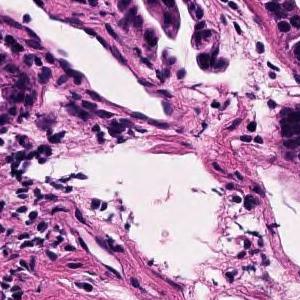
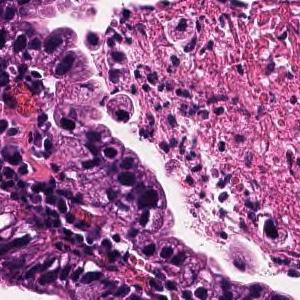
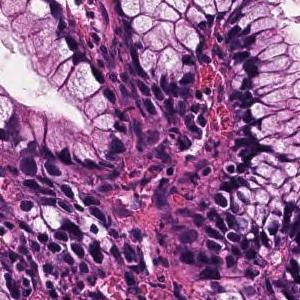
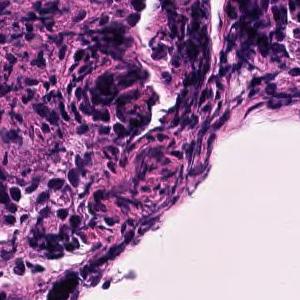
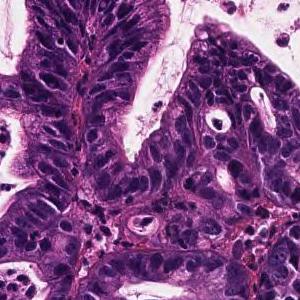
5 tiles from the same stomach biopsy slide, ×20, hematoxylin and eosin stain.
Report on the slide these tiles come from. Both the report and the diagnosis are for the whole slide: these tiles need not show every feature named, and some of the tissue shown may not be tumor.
Tumor cells are large, highly columnar, large club-shaped nuclei, and are associated with chromatin aggregation. Papillary adenocarcinoma.
